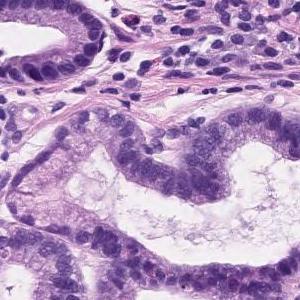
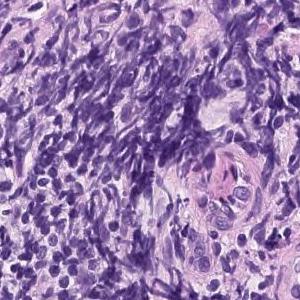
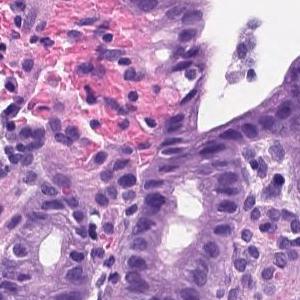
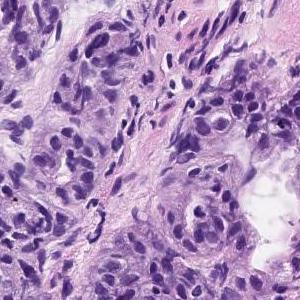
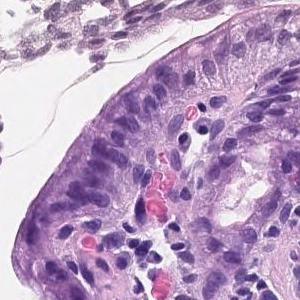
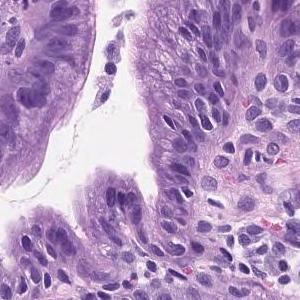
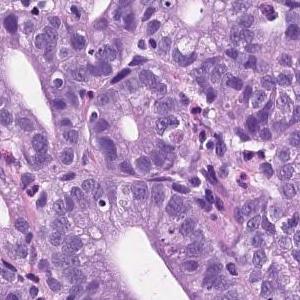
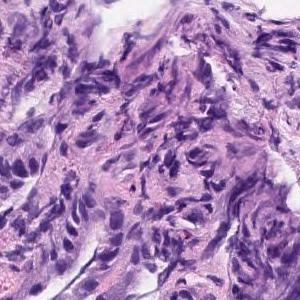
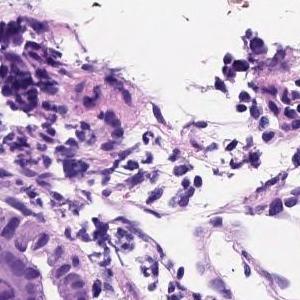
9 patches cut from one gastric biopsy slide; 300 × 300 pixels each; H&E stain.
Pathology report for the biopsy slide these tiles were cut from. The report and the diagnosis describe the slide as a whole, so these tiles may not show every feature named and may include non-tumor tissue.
Tumor tissue consisting of medium-sized and irregular ducts is observed infiltrating in the superficial epithelium. Tumor cells are highly columnar, with nuclei aligned basolaterally and polarized. Well differentiated tubular adenocarcinoma.
